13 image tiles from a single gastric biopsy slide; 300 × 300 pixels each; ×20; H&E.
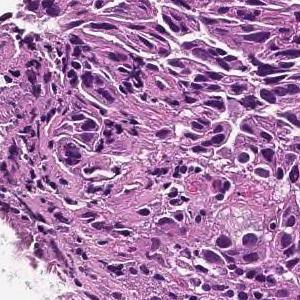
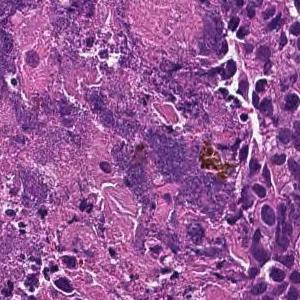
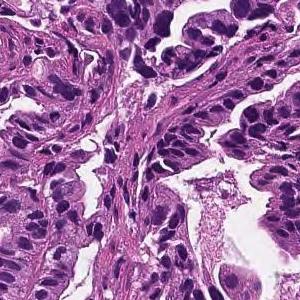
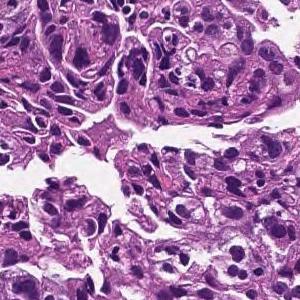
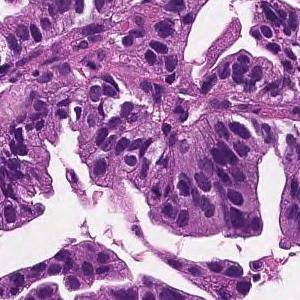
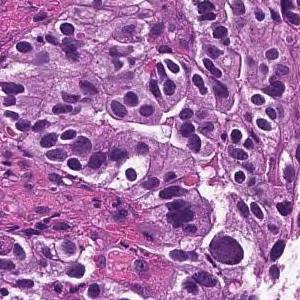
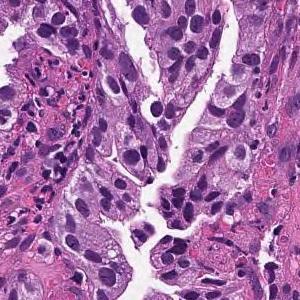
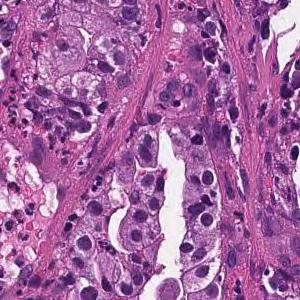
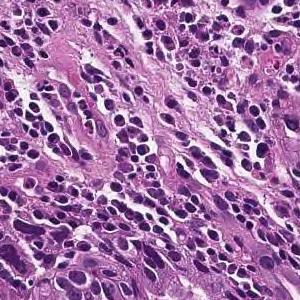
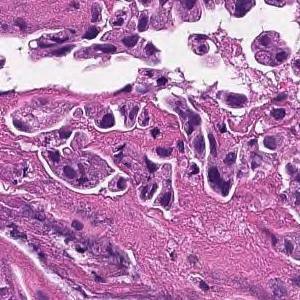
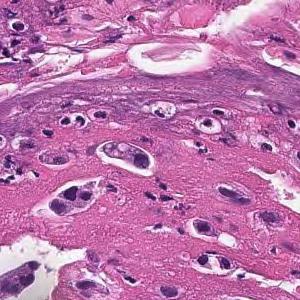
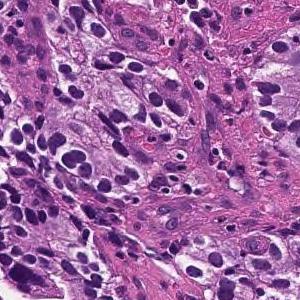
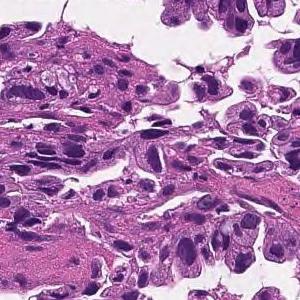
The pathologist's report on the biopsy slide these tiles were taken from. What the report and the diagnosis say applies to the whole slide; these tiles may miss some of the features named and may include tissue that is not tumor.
Medium to small, irregular glandular ducts are formed in the superficial epithelium, and in some cases, the glandular ducts are fused to show solid alveolar lesions and infiltrating tumor tissue is observed. Moderately to poorly differentiated adenocarcinoma.
